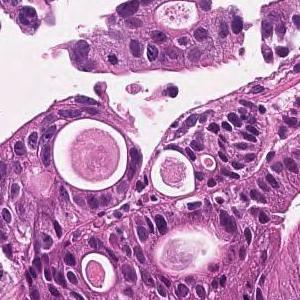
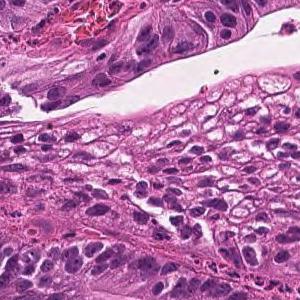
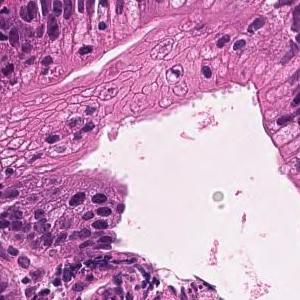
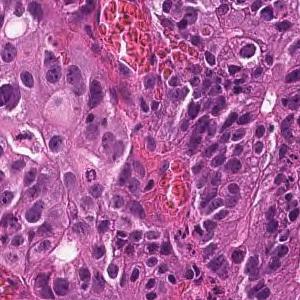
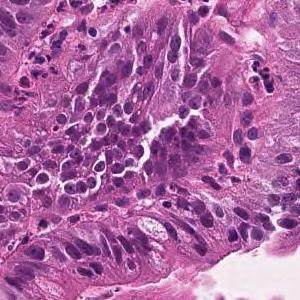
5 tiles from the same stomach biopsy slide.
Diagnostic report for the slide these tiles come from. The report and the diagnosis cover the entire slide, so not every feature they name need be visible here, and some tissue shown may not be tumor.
Tumor cells are large, highly columnar, large club-shaped nuclei, and are associated with chromatin aggregation. Papillary adenocarcinoma.
